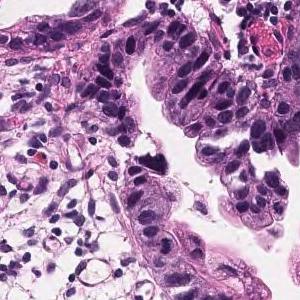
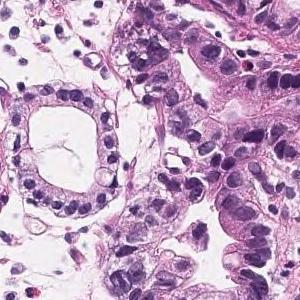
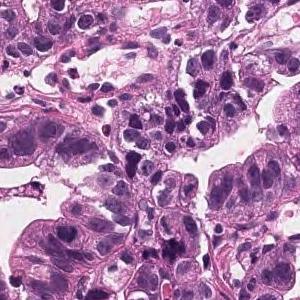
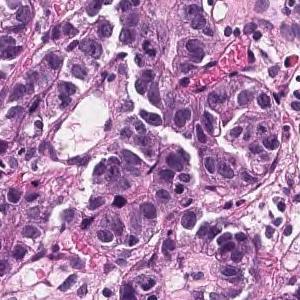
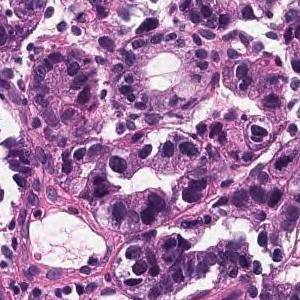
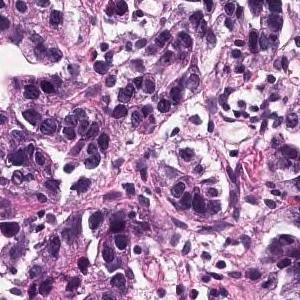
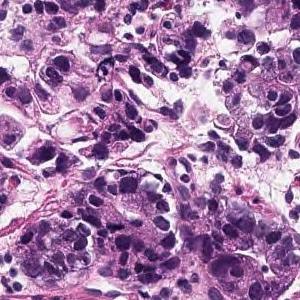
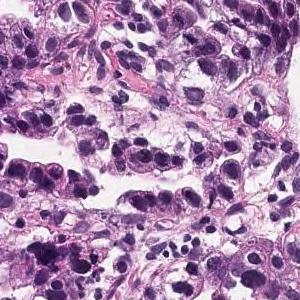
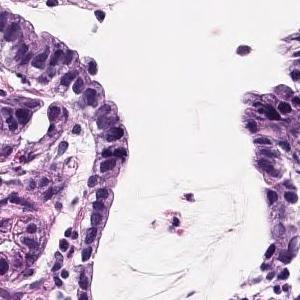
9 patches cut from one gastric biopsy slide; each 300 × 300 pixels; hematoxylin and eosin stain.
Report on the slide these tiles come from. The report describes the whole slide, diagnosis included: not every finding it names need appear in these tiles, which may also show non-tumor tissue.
Atypical epithelium showing nuclear enlargement builds irregular ducts and grows densely. moderately differentiated tubular adenocarcinoma
